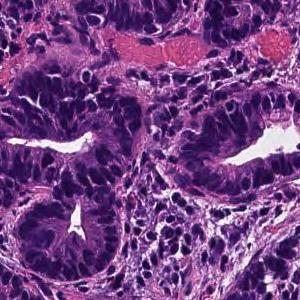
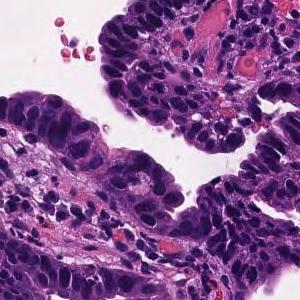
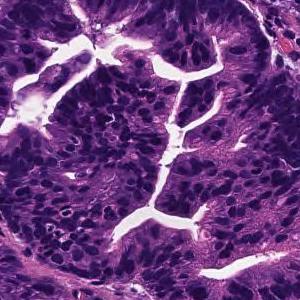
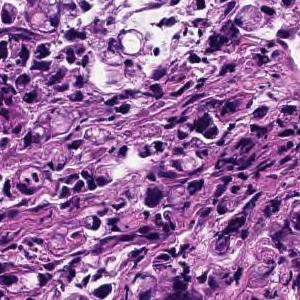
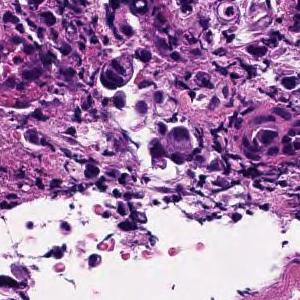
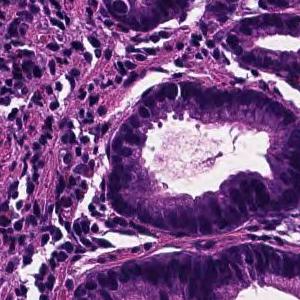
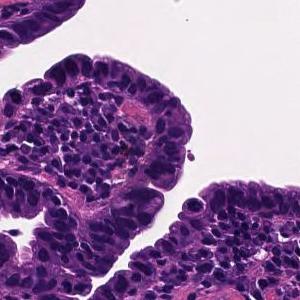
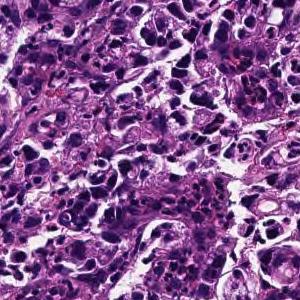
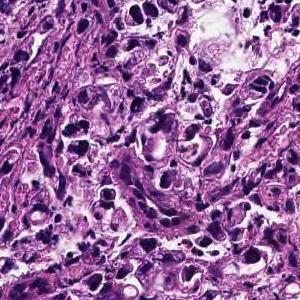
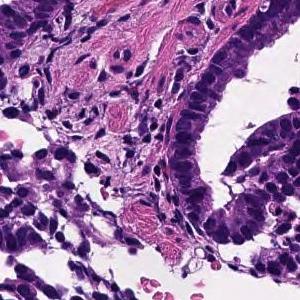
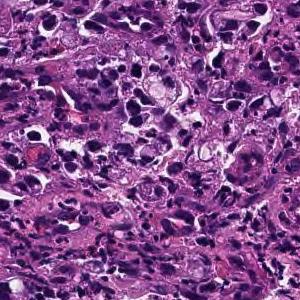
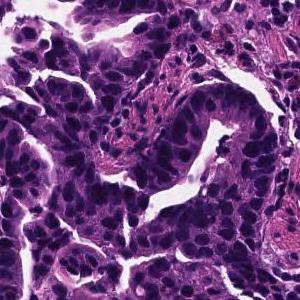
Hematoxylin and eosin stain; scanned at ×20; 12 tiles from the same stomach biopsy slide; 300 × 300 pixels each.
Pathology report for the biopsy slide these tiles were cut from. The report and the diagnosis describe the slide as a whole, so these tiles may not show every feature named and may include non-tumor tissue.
On the superficial epithelium, tumor tissue that infiltrates by forming medium-sized papillary or small irregular ducts is observed. Papillary adenocarcinoma
